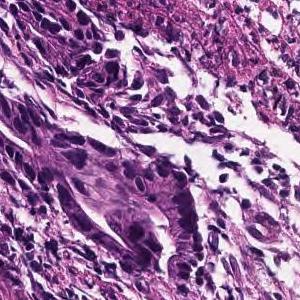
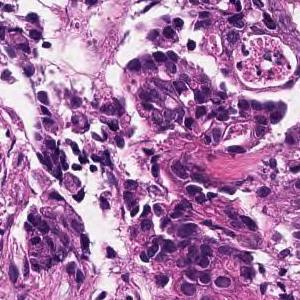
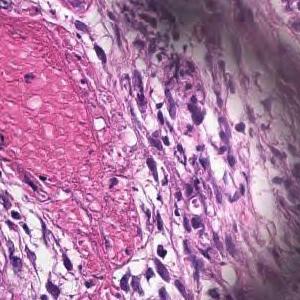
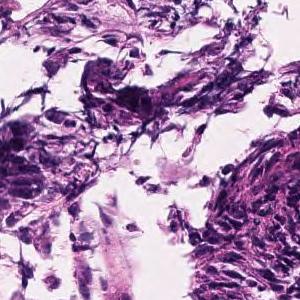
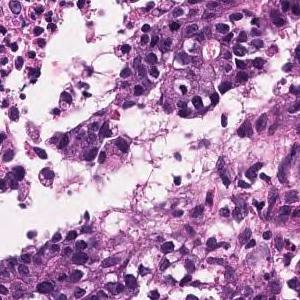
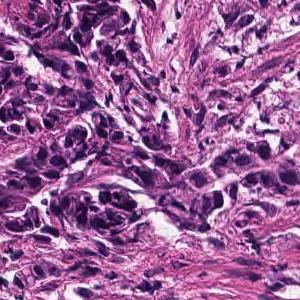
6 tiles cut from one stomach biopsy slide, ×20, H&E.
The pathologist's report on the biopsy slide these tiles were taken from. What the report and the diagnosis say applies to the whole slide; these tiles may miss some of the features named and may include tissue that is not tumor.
In the superficial epithelium, medium to small, irregular gland ducts are formed, and in some cases, the gland ducts are fused to show solid alveolar lesions and infiltrating tumor tissue is observed. Moderately to poorly differentiated adenocarcinoma.
